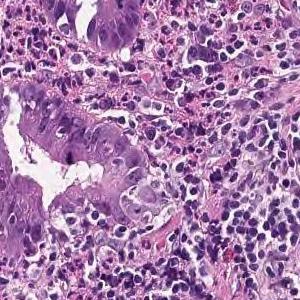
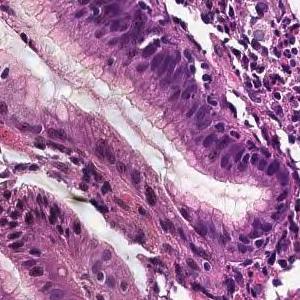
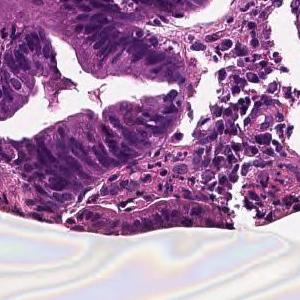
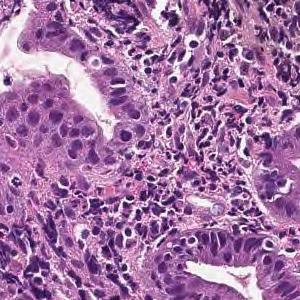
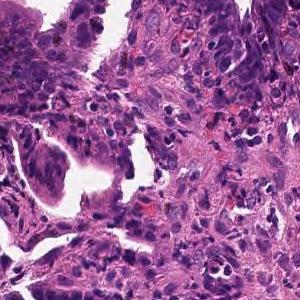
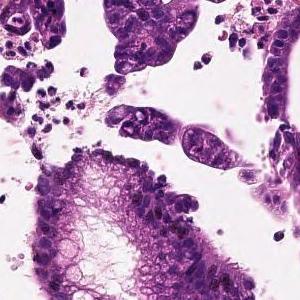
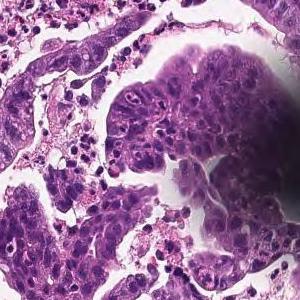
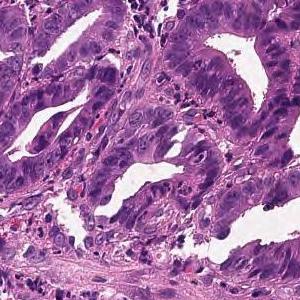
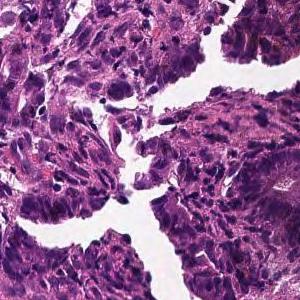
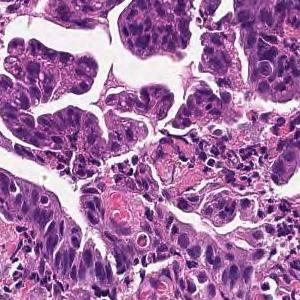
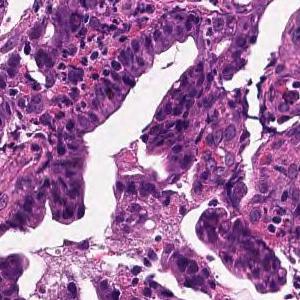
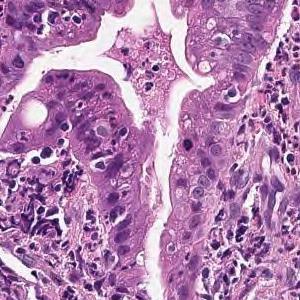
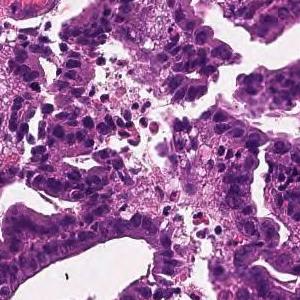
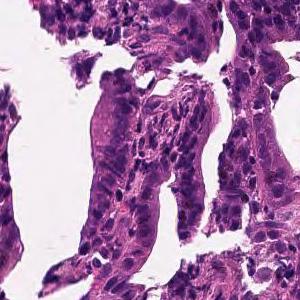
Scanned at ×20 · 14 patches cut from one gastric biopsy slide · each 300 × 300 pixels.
Pathology report for the biopsy slide these tiles were cut from. What the report and the diagnosis say applies to the whole slide; these tiles may miss some of the features named and may include tissue that is not tumor.
From the superficial epithelium to the muscularis mucosae, tumor tissue consisting of medium-sized and irregular glandular ducts infiltrating is observed. Well differentiated tubular adenocarcinoma
